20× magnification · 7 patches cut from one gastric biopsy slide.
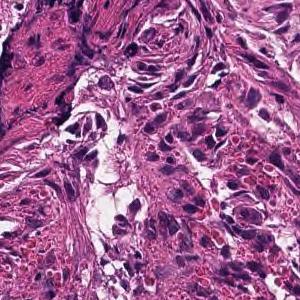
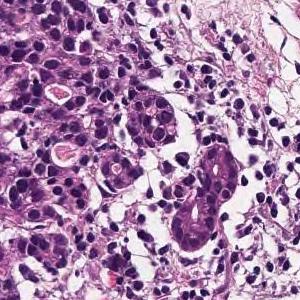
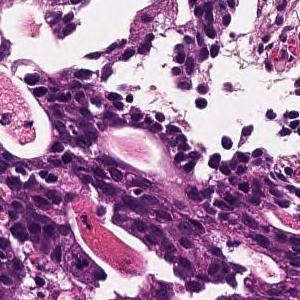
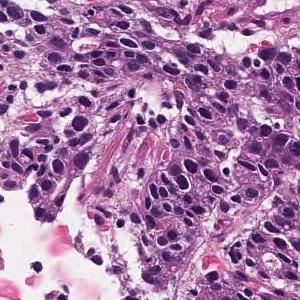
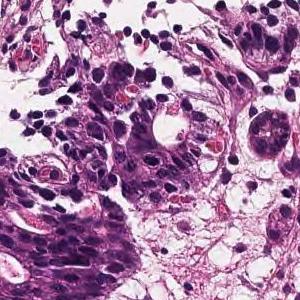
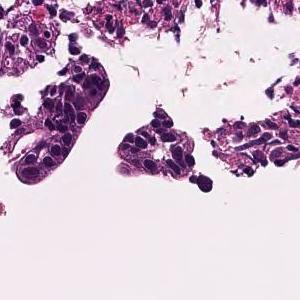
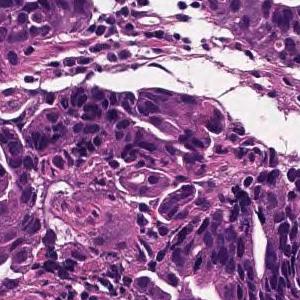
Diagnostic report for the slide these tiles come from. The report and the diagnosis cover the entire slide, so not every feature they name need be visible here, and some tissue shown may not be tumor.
Medium to small, irregular glandular ducts are formed in the superficial epithelium, and in some cases, the glandular ducts are fused to show solid alveolar lesions and infiltrating tumor tissue is observed. Moderately to poorly differentiated adenocarcinoma.
